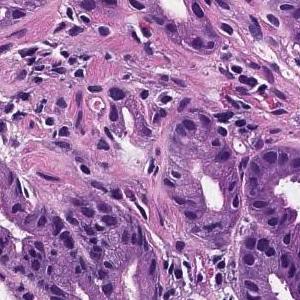
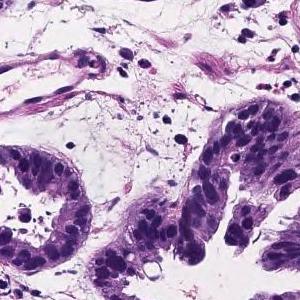
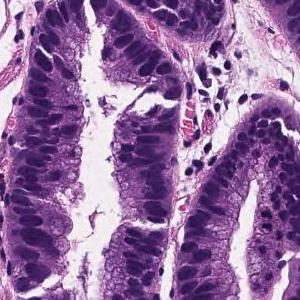
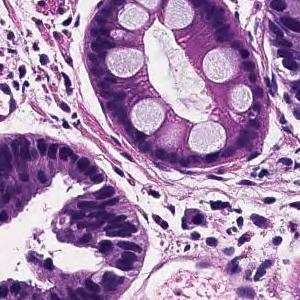
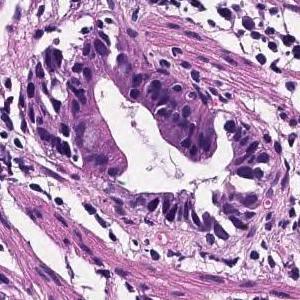
5 patches cut from one gastric biopsy slide.
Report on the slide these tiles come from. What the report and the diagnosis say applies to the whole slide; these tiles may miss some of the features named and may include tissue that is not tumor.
Tumor cells are large, highly columnar, large club-shaped nuclei, and are associated with chromatin aggregation. Papillary adenocarcinoma.
